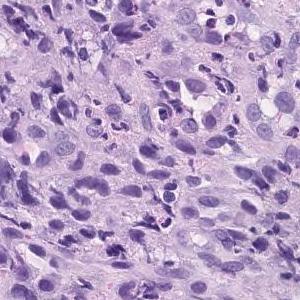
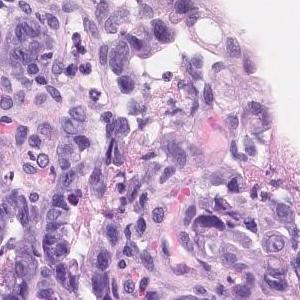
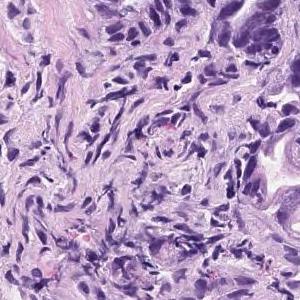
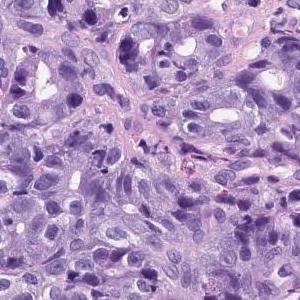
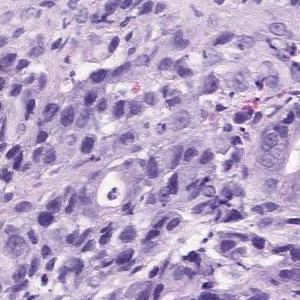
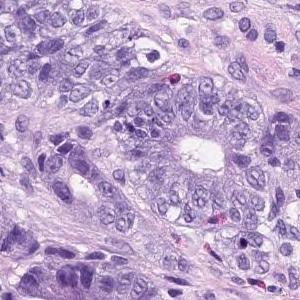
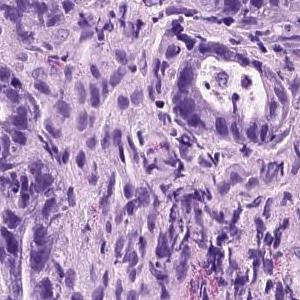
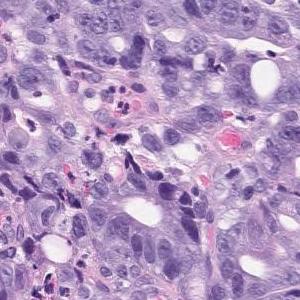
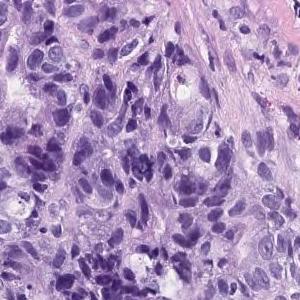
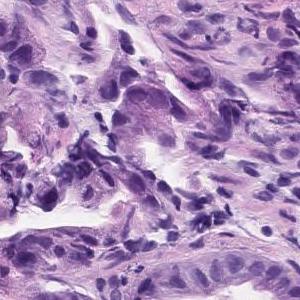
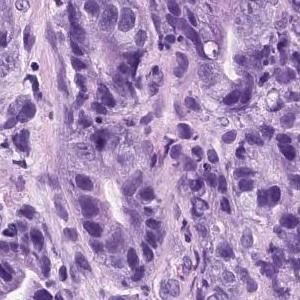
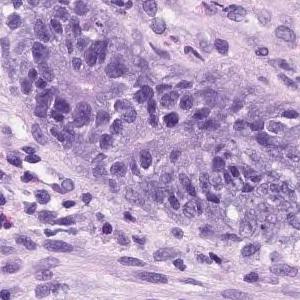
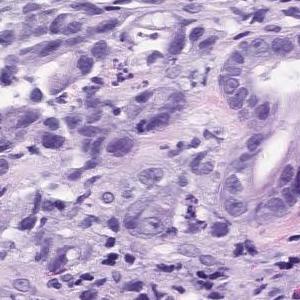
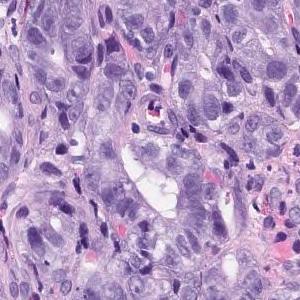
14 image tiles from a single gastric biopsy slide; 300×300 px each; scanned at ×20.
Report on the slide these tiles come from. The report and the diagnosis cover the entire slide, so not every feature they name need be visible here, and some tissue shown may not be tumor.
In the superficial epithelium, tumor tissue that invades by forming medium-sized to small, irregular ducts is observed. Moderately differentiated adenocarcinoma.
Histological subtype: Moderately differentiated tubular adenocarcinoma.
